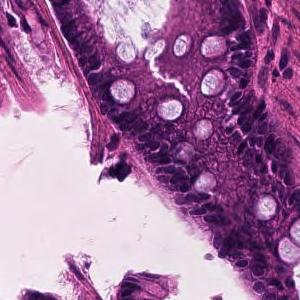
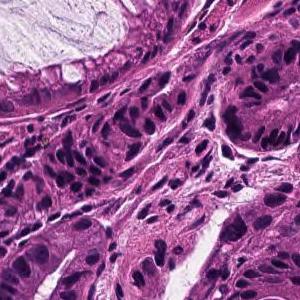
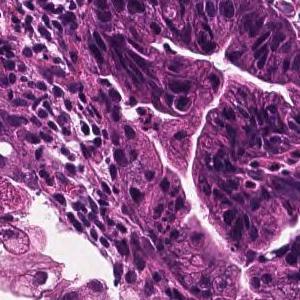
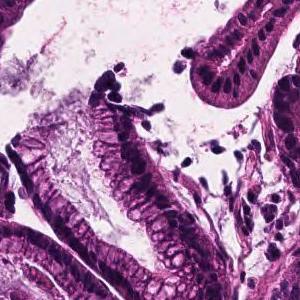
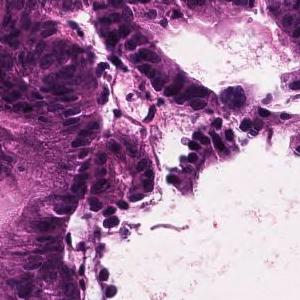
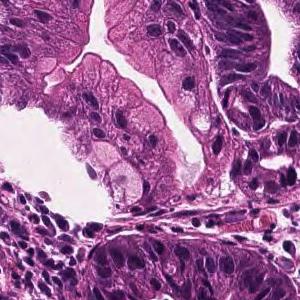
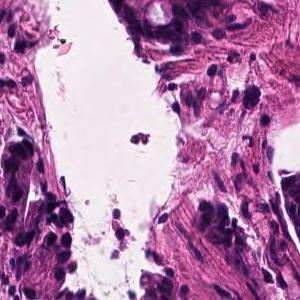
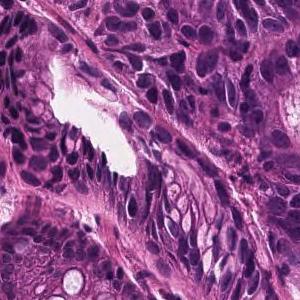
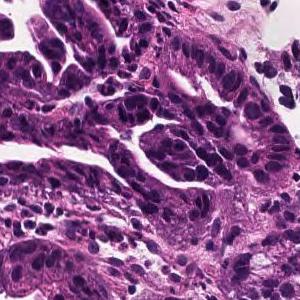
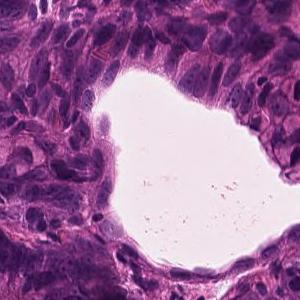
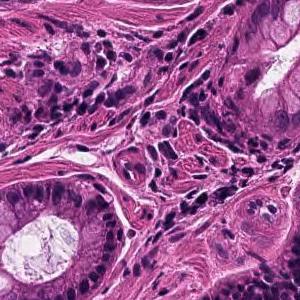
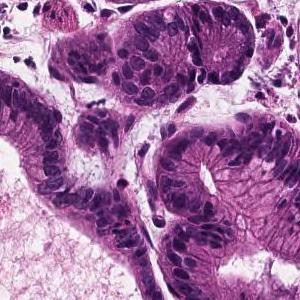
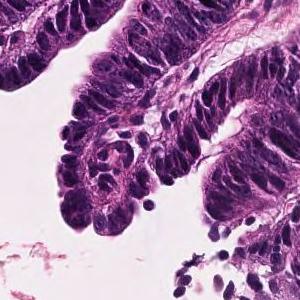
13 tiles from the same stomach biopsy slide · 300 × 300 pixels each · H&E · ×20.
Diagnostic report for the slide these tiles come from. The findings and the diagnosis refer to the entire slide; these tiles show only part of it, possibly with non-tumor tissue, and may not show every feature named.
In the superficial epithelium, tumor tissue that invades by forming medium-sized to small, irregular ducts is observed. Well differentiated tubular adenocarcinoma.
